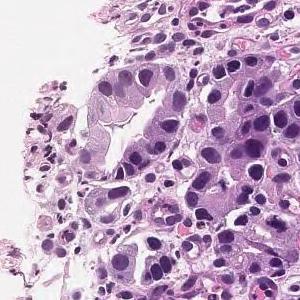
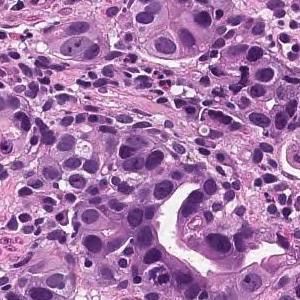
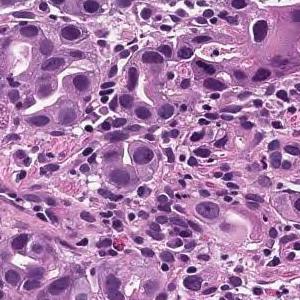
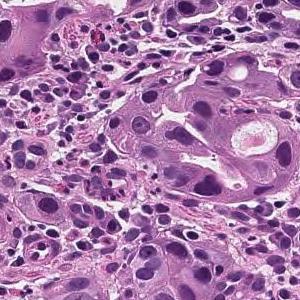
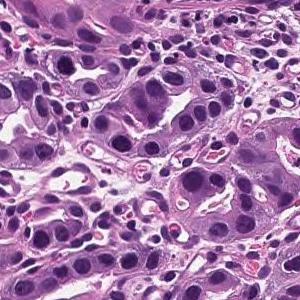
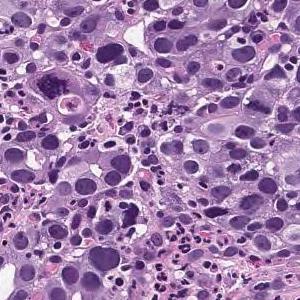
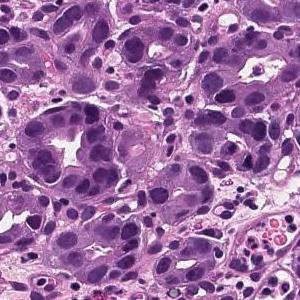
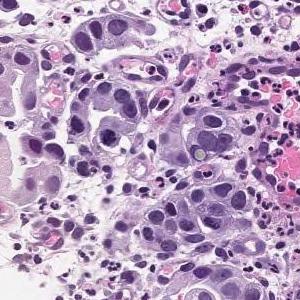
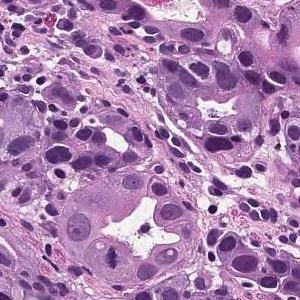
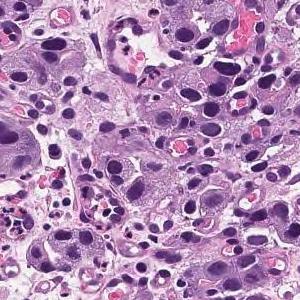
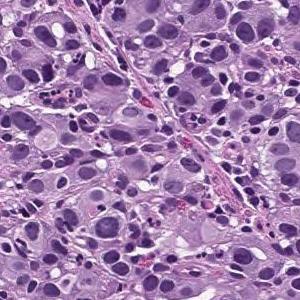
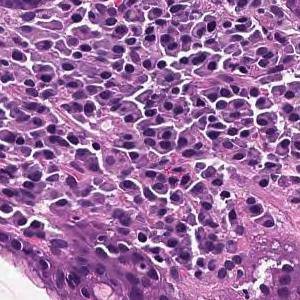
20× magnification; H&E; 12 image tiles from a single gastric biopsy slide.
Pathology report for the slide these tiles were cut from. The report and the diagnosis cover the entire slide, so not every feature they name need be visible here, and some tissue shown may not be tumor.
The superficial epithelium shows a large sheet or alveolar shape, and tumor tissue infiltrating without irregular ducts is observed. Poorly differentiated adenocarcinoma, solid-type
Histologic type: Poorly differentiated adenocarcinoma, solid type, a category of the Japanese Classification of Gastric Carcinoma; in the WHO 2019 classification it is tubular adenocarcinoma, poorly differentiated.
